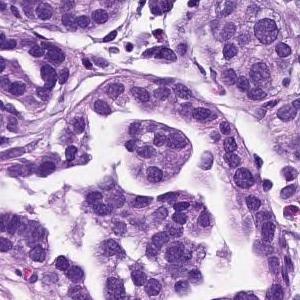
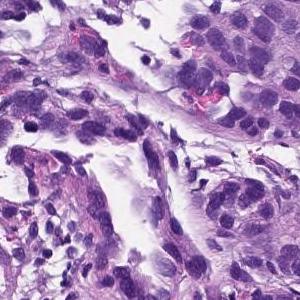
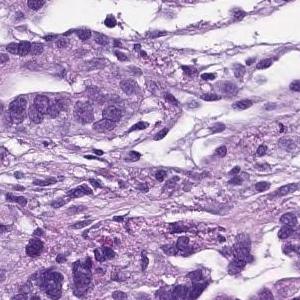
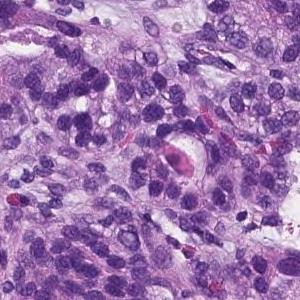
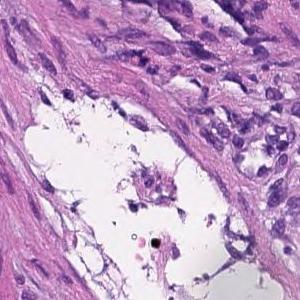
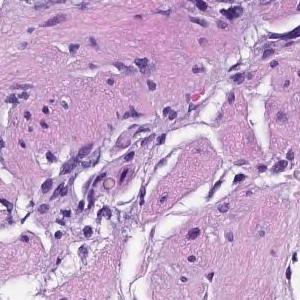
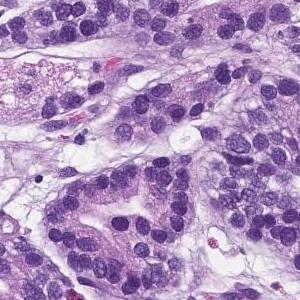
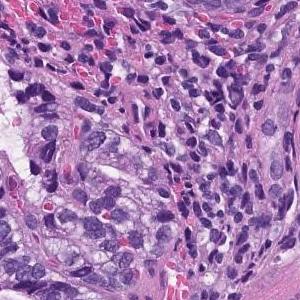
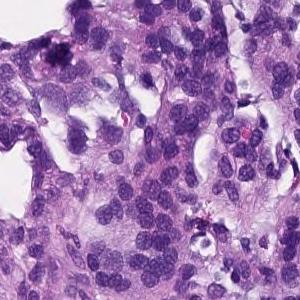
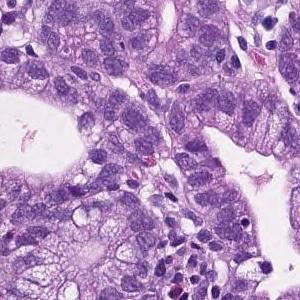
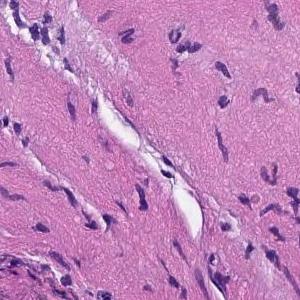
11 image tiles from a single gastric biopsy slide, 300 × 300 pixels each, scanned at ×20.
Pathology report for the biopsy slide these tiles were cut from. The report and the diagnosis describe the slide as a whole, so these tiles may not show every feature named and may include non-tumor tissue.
From the superficial epithelium to the muscularis mucosae, tumor tissue consisting of medium-sized and irregular glandular ducts infiltrating is observed. Well differentiated tubular adenocarcinoma
